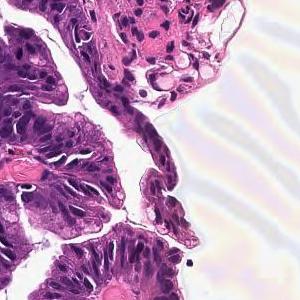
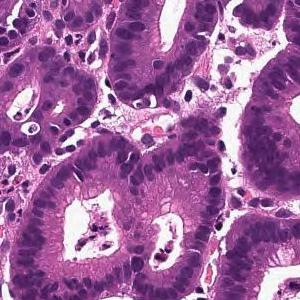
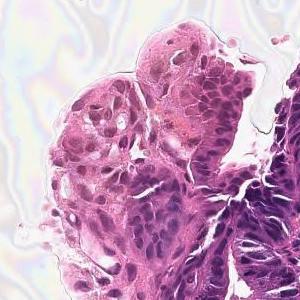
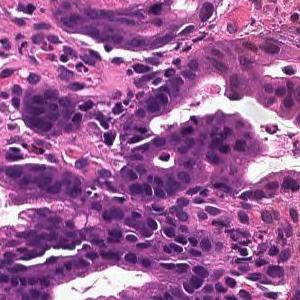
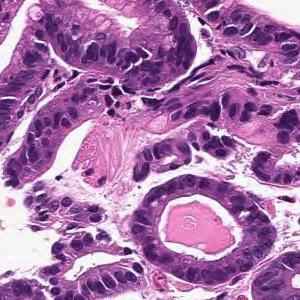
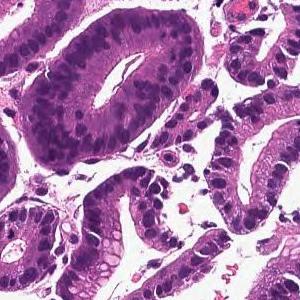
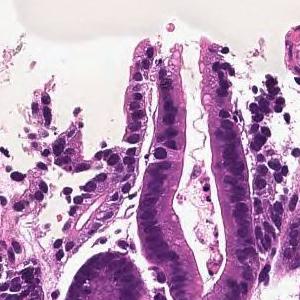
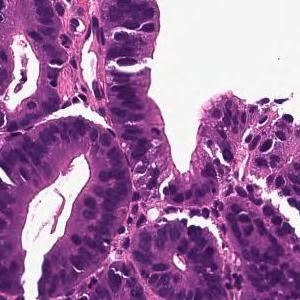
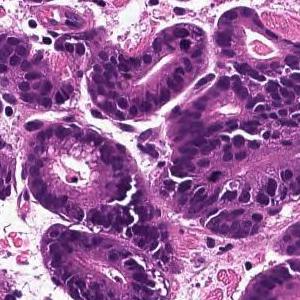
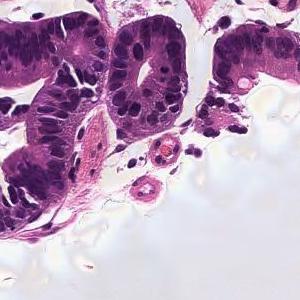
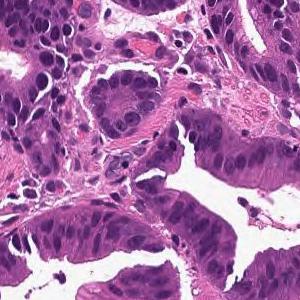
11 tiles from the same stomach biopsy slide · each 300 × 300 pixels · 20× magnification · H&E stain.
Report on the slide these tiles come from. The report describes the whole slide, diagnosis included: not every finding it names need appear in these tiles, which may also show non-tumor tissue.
From the superficial epithelium to the muscularis mucosae, tumor tissue consisting of medium-sized and irregular glandular ducts infiltrating is observed. Well differentiated tubular adenocarcinoma
